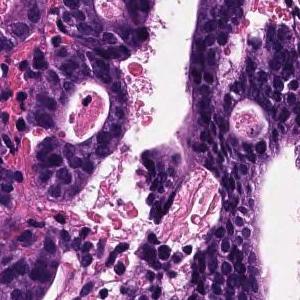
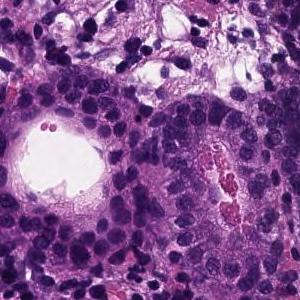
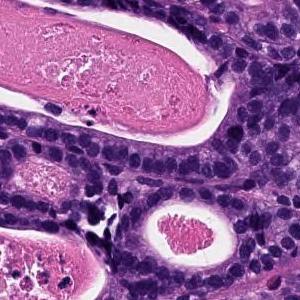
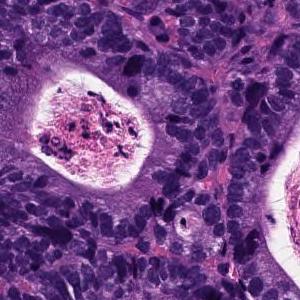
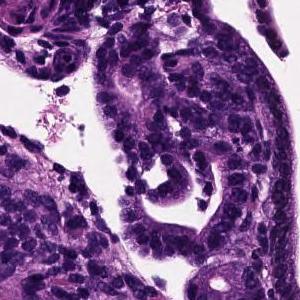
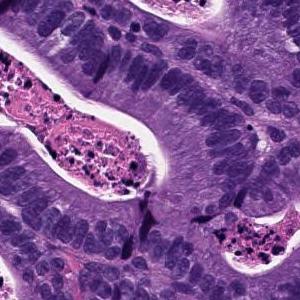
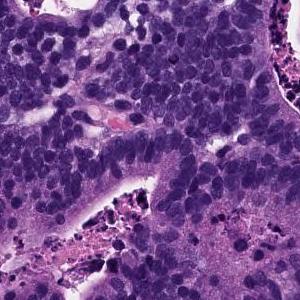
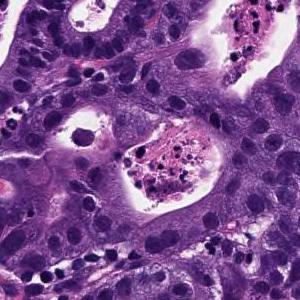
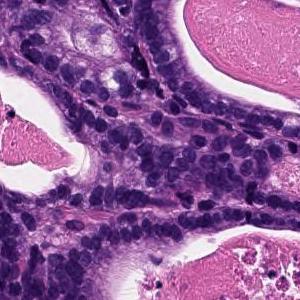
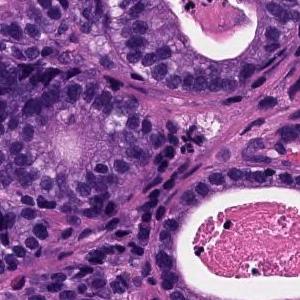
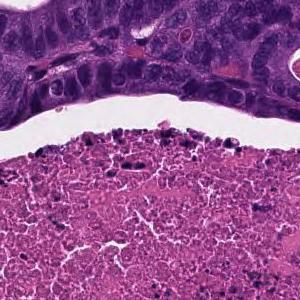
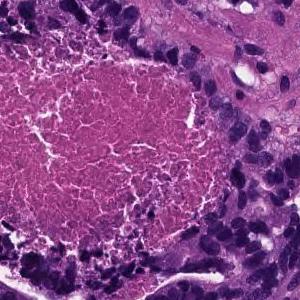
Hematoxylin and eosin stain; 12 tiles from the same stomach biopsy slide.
Pathology report for the biopsy slide these tiles were cut from. Both the report and the diagnosis are for the whole slide: these tiles need not show every feature named, and some of the tissue shown may not be tumor.
From the superficial epithelium to the muscularis mucosae, tumor tissue consisting of medium-sized and irregular glandular ducts infiltrating is observed. Well differentiated tubular adenocarcinoma
